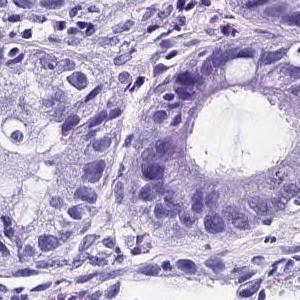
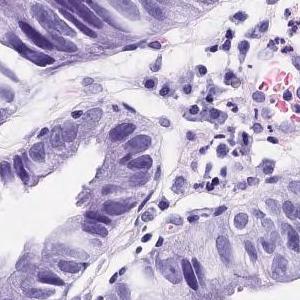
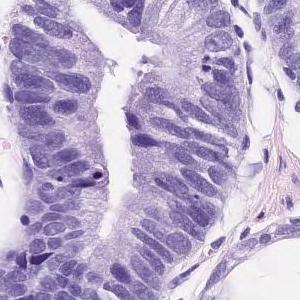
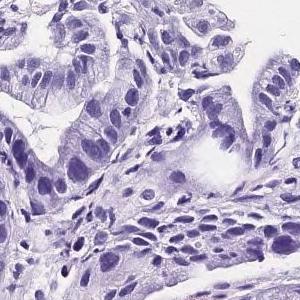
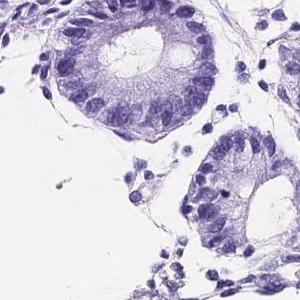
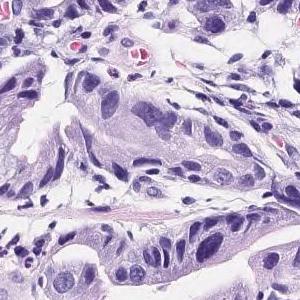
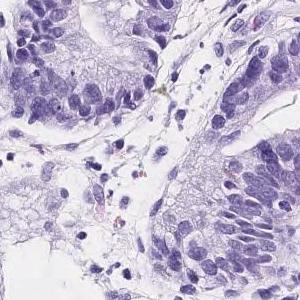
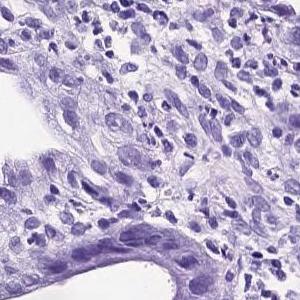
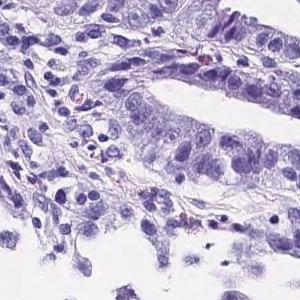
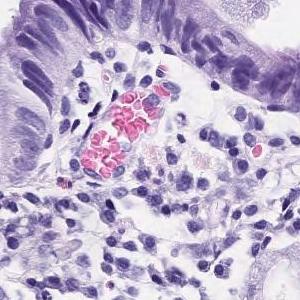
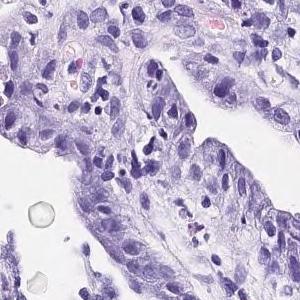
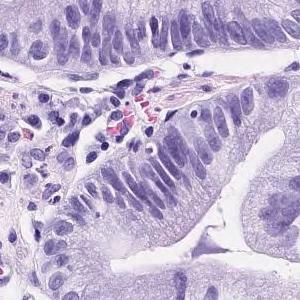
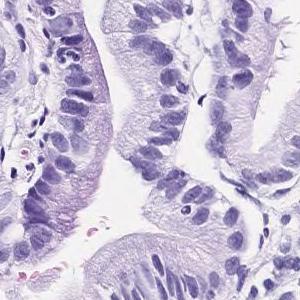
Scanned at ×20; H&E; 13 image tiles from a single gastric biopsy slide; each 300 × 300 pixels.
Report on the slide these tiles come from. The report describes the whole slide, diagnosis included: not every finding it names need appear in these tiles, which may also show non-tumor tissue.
Tumor tissue consisting of medium-sized and irregular ducts is observed infiltrating in the superficial epithelium. Tumor cells are highly columnar, with nuclei aligned basolaterally and polarized. Well differentiated tubular adenocarcinoma.
